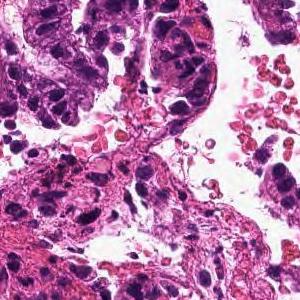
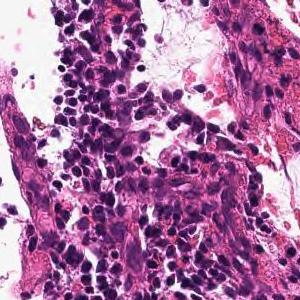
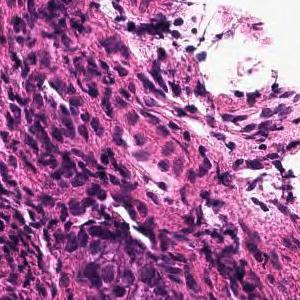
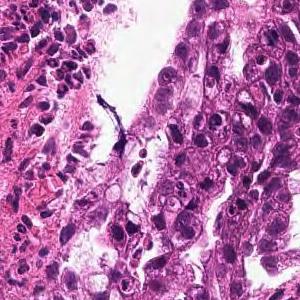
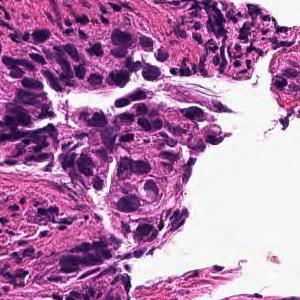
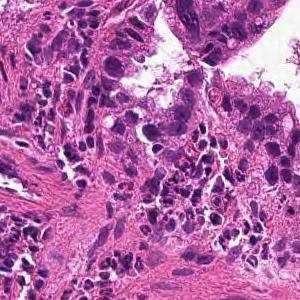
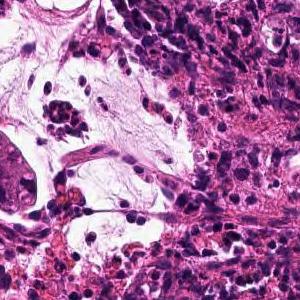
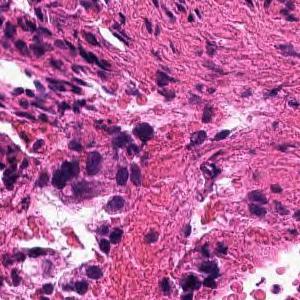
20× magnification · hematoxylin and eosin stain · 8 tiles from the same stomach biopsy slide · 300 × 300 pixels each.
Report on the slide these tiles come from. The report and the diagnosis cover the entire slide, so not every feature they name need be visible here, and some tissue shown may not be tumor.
From the superficial epithelium to the muscularis mucosae, tumor tissue infiltrating by forming medium-sized irregular gland ducts is observed. Well differentiated tubular adenocarcinoma
